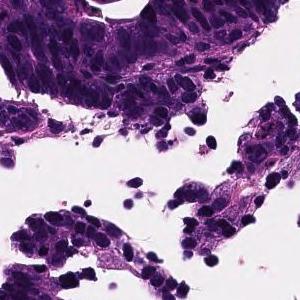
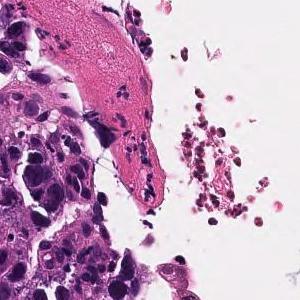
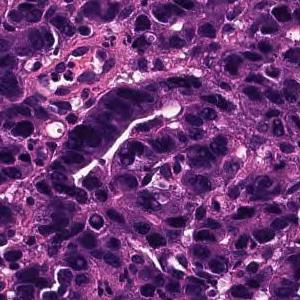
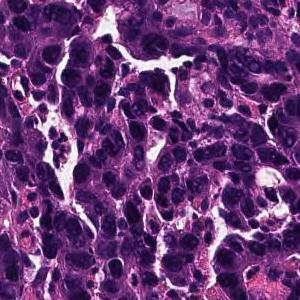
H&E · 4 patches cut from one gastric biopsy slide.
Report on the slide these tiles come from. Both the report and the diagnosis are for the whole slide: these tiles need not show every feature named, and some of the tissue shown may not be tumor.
In the superficial epithelium, tumor tissue that invades by forming medium-sized to small, irregular ducts is observed. moderately differentiated tubular adenocarcinoma.
